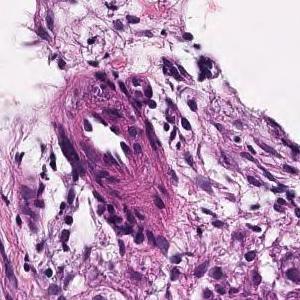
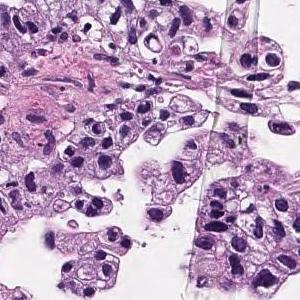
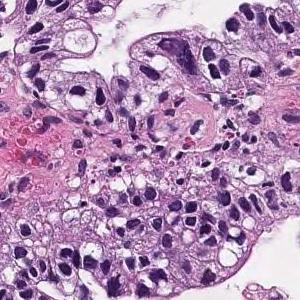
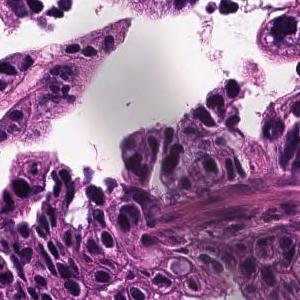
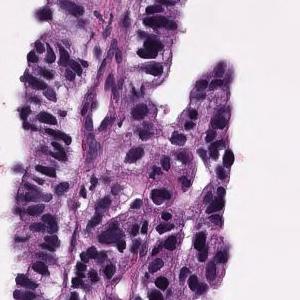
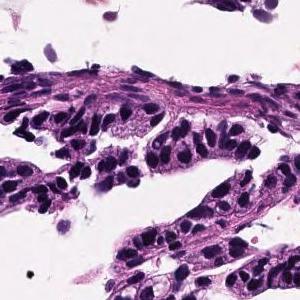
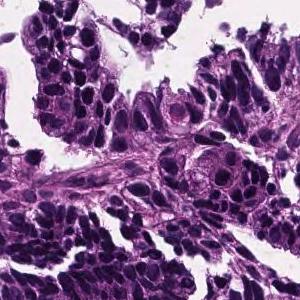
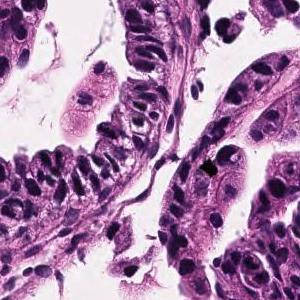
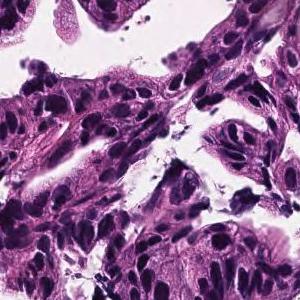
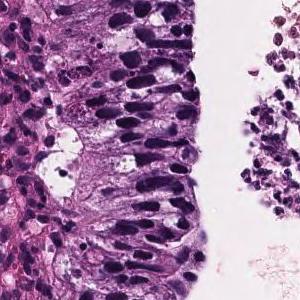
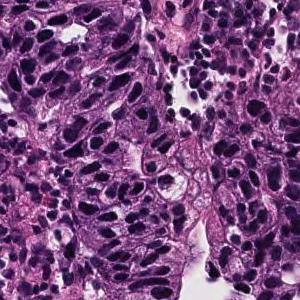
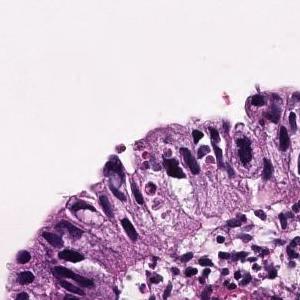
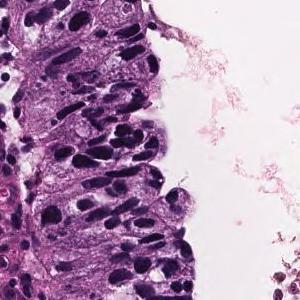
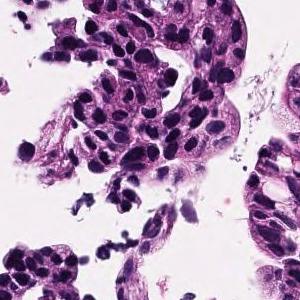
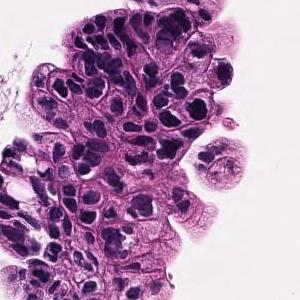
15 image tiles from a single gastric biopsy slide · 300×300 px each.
Diagnostic report for the slide these tiles come from. The report and the diagnosis cover the entire slide, so not every feature they name need be visible here, and some tissue shown may not be tumor.
Tumor cells are large, highly columnar, large club-shaped nuclei, and are associated with chromatin aggregation. Papillary adenocarcinoma.
